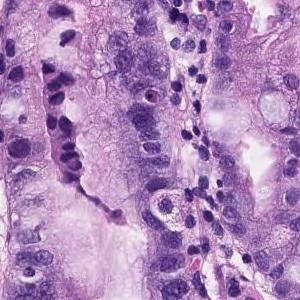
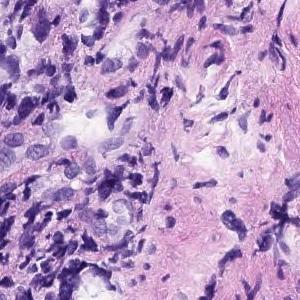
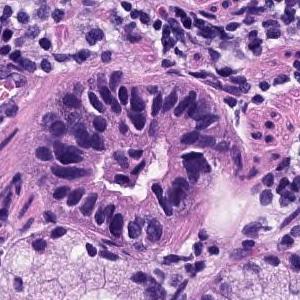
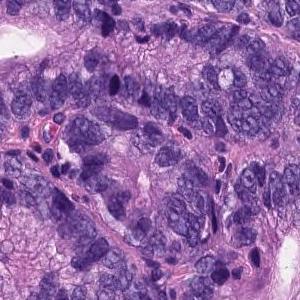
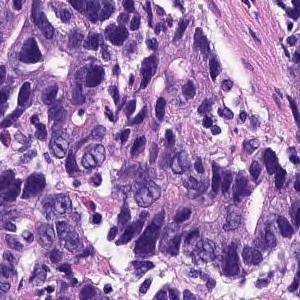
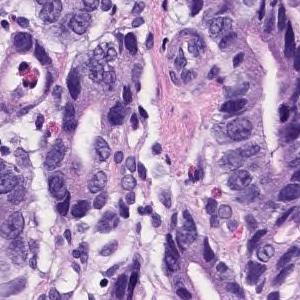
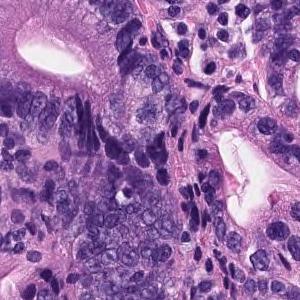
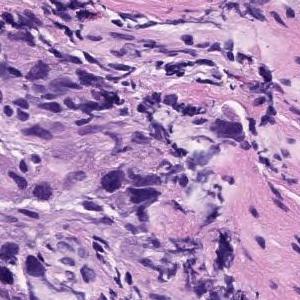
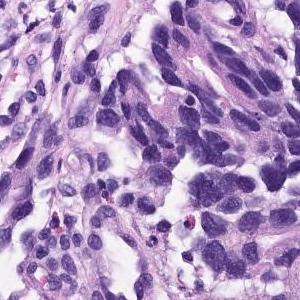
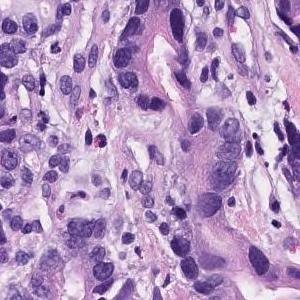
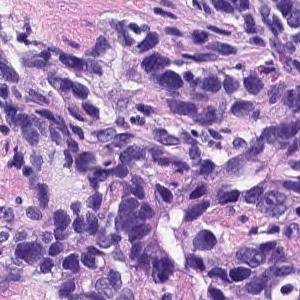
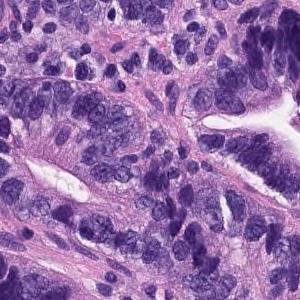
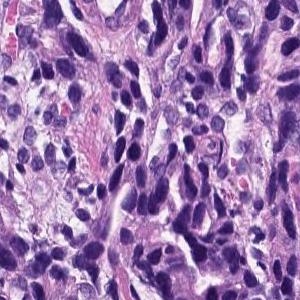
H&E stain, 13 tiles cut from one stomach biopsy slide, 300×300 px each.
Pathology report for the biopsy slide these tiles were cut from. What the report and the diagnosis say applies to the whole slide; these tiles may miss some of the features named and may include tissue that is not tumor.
On the superficial epithelium, tumor tissue consisting of images showing invasive growth with small, irregular tubules partially fused is observed. moderately differentiated tubular adenocarcinoma
